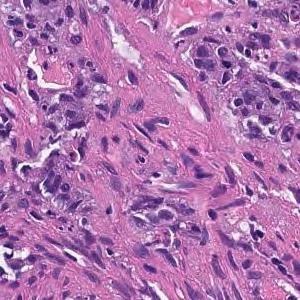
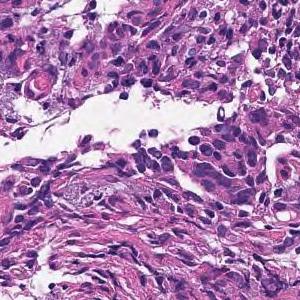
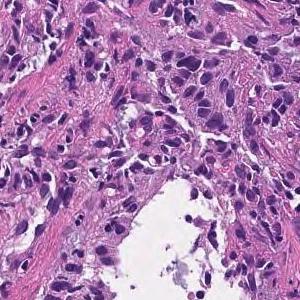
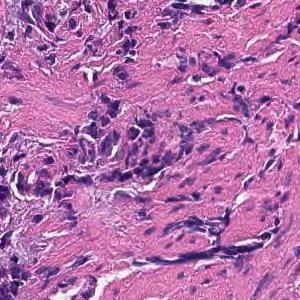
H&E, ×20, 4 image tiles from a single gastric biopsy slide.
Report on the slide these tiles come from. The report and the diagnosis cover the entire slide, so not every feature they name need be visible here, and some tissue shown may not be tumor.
On the superficial epithelium, tumor tissue consisting of large, irregular glandular ducts partially fused and infiltrated is observed. Well to moderately differentiated tubular adenocarcinoma (well differentiated tubular adenocarcinoma, moderately differentiated tubular adenocarcinoma)
Histologic type: Well to moderately differentiated tubular adenocarcinoma.
